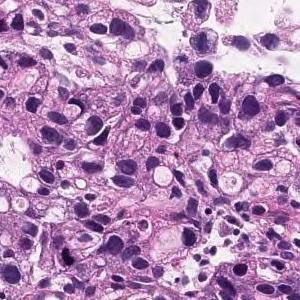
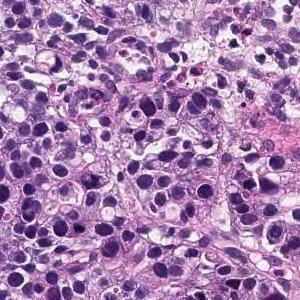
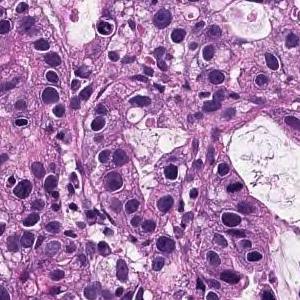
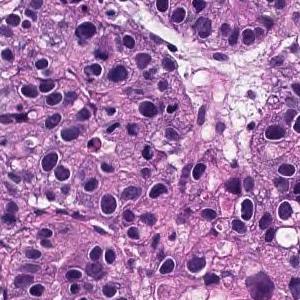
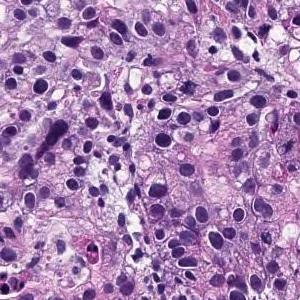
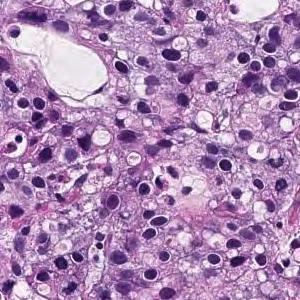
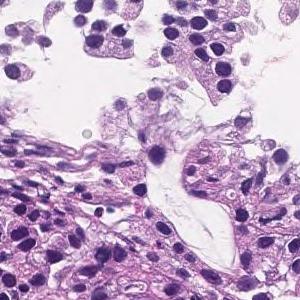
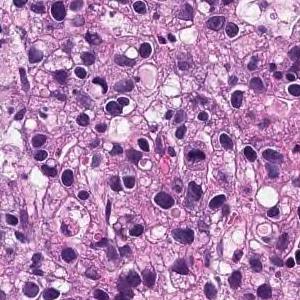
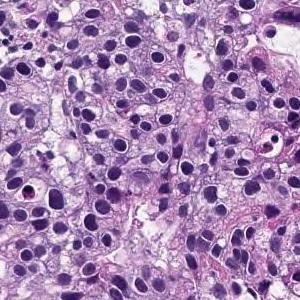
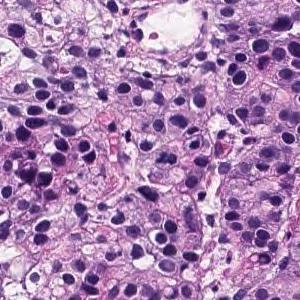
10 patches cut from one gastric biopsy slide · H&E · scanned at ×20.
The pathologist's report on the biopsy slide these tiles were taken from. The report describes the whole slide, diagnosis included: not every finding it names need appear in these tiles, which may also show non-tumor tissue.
In the superficial epithelium, tumor tissue that invades by forming medium-sized to small, irregular ducts is observed. moderately differentiated tubular adenocarcinoma.
